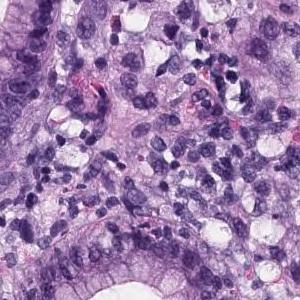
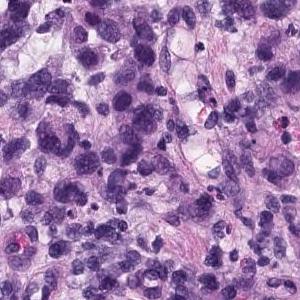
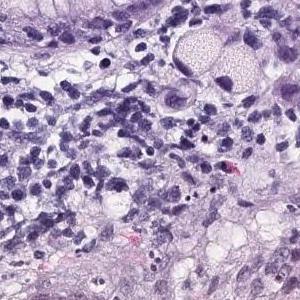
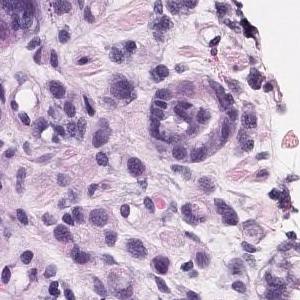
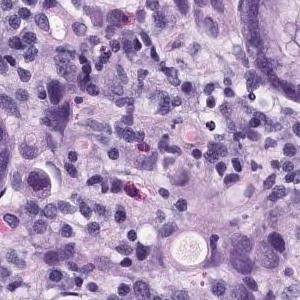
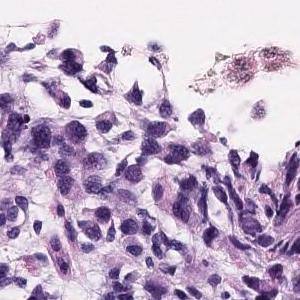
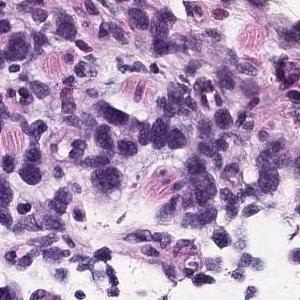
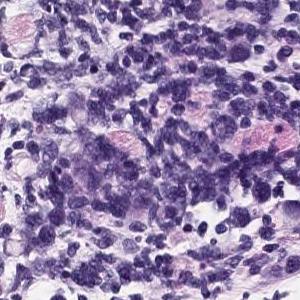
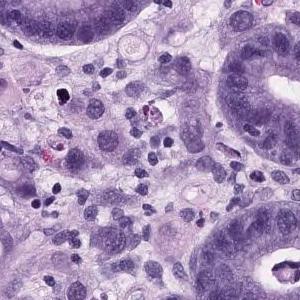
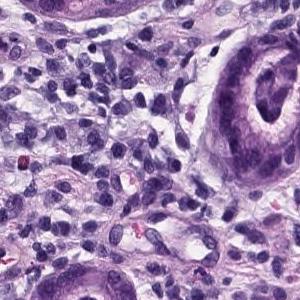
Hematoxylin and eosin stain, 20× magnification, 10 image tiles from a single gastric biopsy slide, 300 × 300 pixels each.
Diagnostic report for the slide these tiles come from. Both the report and the diagnosis are for the whole slide: these tiles need not show every feature named, and some of the tissue shown may not be tumor.
Group 5, Adenocarcinoma. Poorly differentiated adenocarcinoma, non-solid type
The non-solid type named here is a Japanese Classification of Gastric Carcinoma category.
